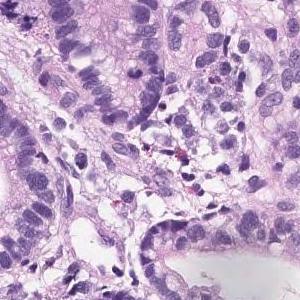
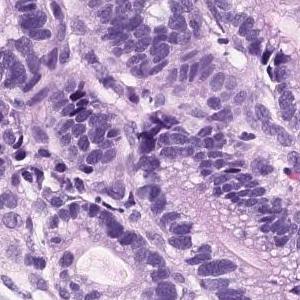
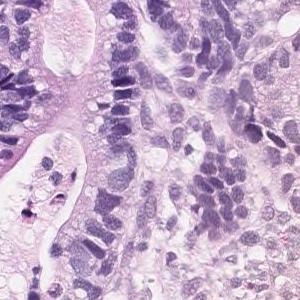
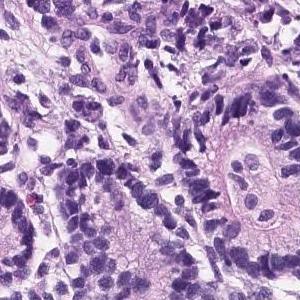
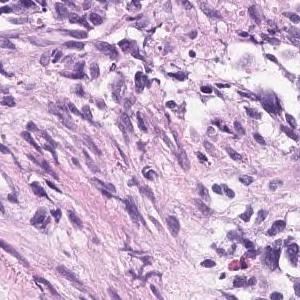
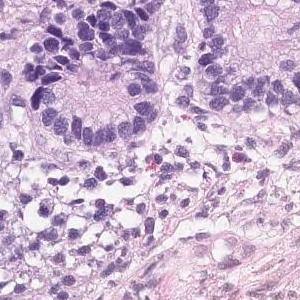
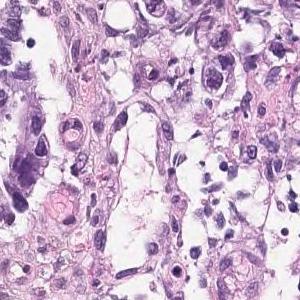
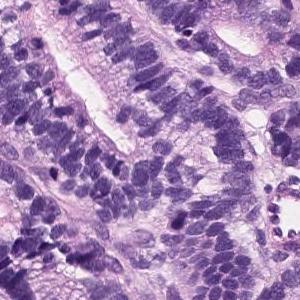
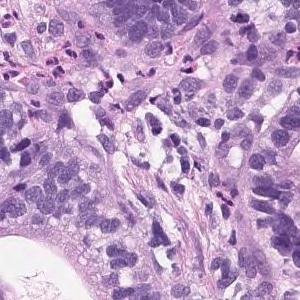
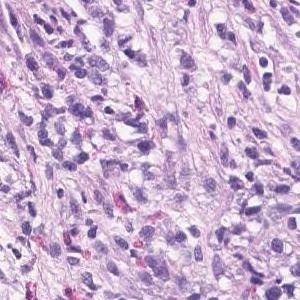
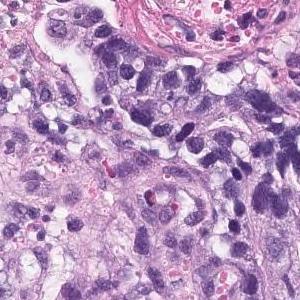
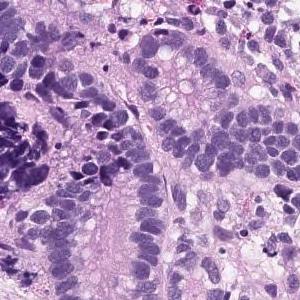
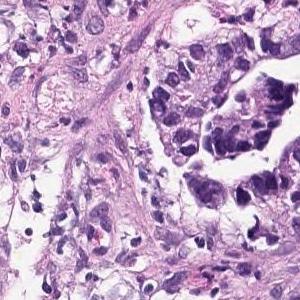
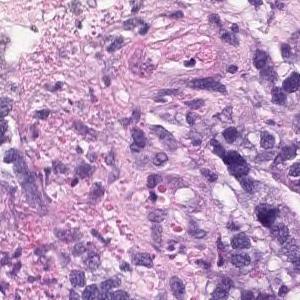
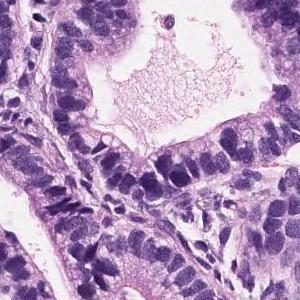
15 tiles from the same stomach biopsy slide, each 300 × 300 pixels, H&E, ×20.
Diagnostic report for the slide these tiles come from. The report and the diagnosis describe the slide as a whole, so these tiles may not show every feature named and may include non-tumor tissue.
Hyperplasia of atypical epithelial cells with swelling of the nucleus is observed. Moderately diffentiated tubular adenocarcinoma
Tumor subtype: moderately differentiated tubular adenocarcinoma.
